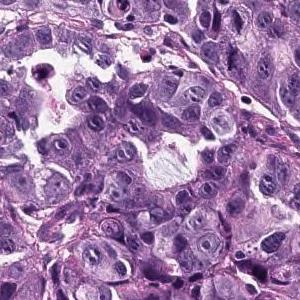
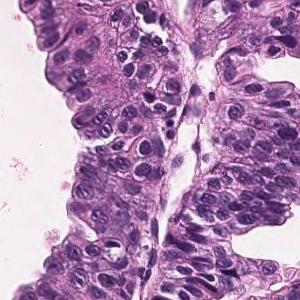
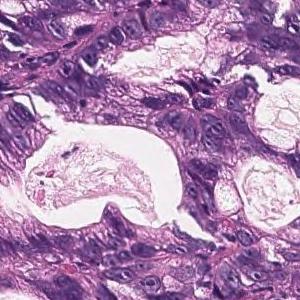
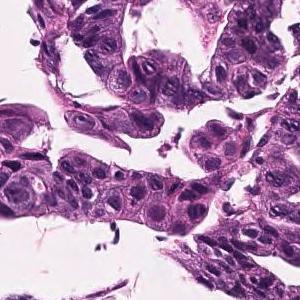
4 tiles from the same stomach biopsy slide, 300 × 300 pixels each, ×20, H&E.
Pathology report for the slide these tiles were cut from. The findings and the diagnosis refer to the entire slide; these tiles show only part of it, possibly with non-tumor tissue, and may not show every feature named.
Tumor cells are large, highly columnar, large club-shaped nuclei, and are associated with chromatin aggregation. Papillary adenocarcinoma.
